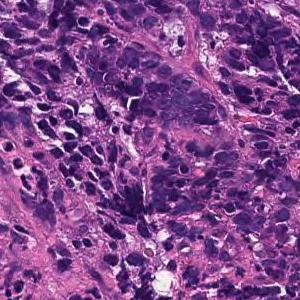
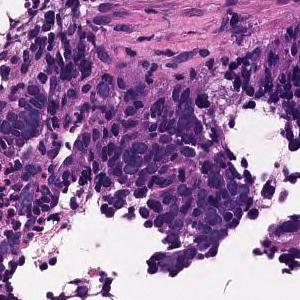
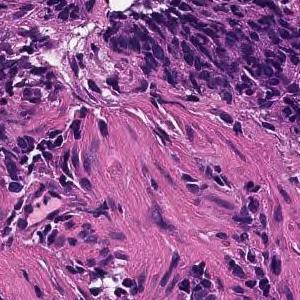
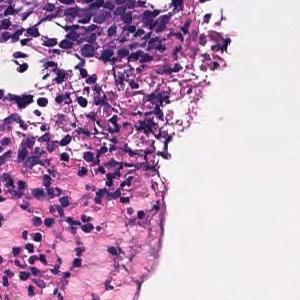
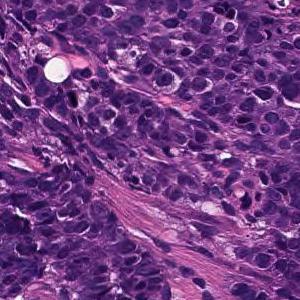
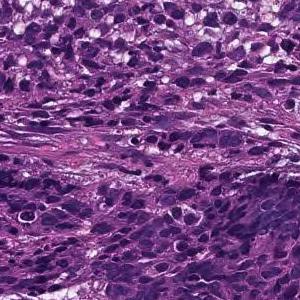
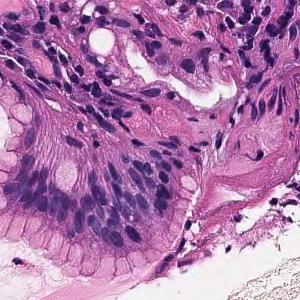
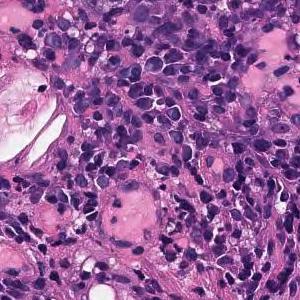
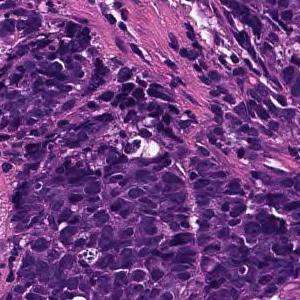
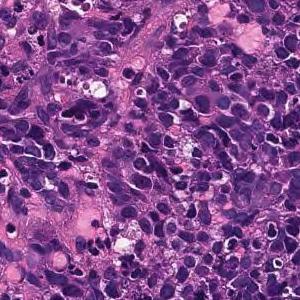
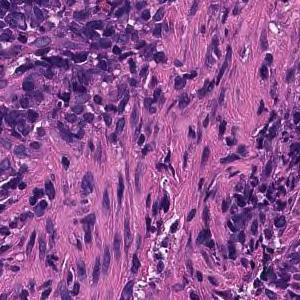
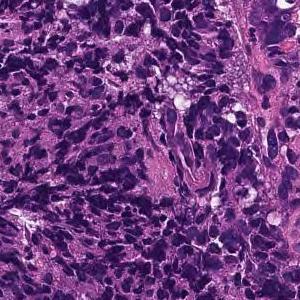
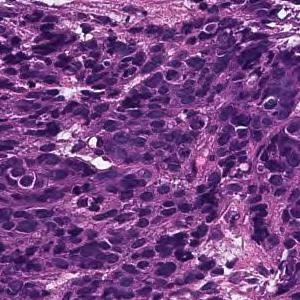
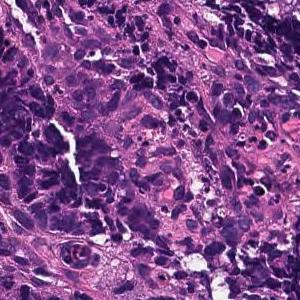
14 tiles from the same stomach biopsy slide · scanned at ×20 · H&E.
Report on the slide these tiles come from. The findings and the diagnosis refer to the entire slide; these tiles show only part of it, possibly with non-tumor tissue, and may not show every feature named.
Large sheet-like or diffusely infiltrating tumor tissue is found in the superficial epithelium. Poorly differentiated adenocarcinoma, solid-type
Histologic type: Poorly differentiated adenocarcinoma, solid type. This name comes from the Japanese Classification of Gastric Carcinoma; the WHO 2019 classification calls it tubular adenocarcinoma, poorly differentiated.
